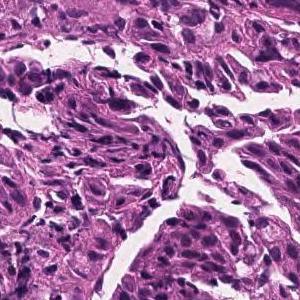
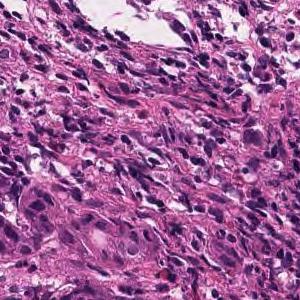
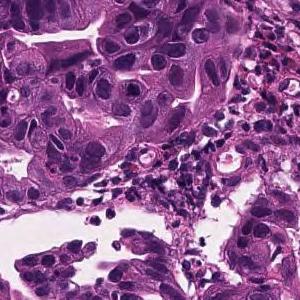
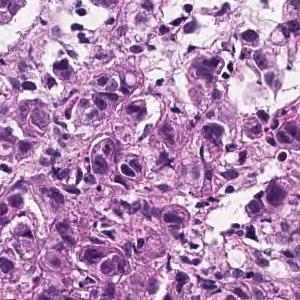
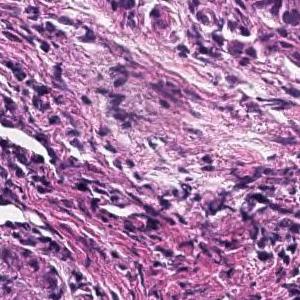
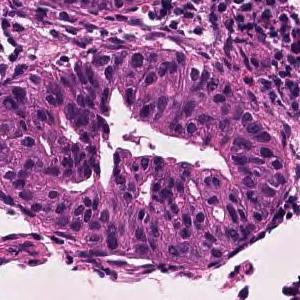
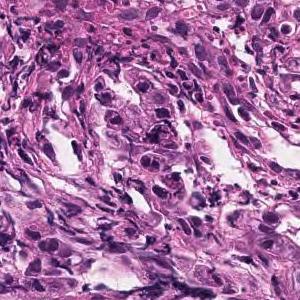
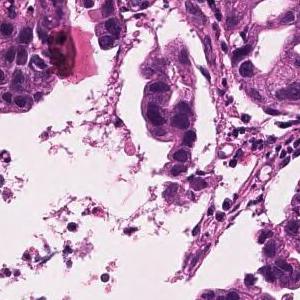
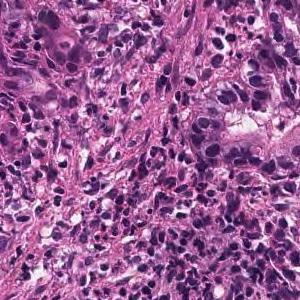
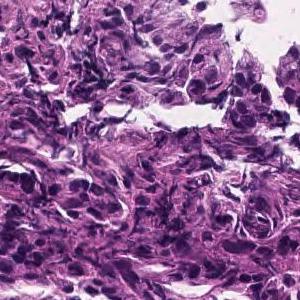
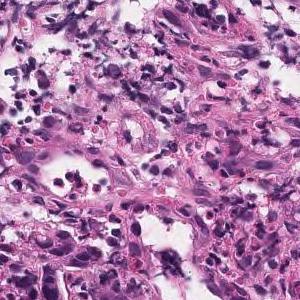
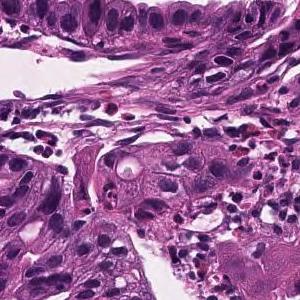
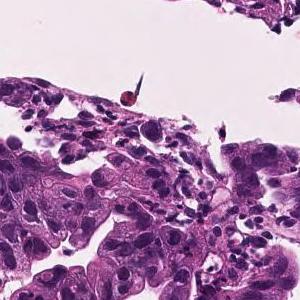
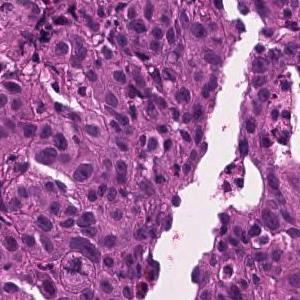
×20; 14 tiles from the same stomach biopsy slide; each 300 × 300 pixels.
Diagnostic report for the slide these tiles come from. The report describes the whole slide, diagnosis included: not every finding it names need appear in these tiles, which may also show non-tumor tissue.
Tumor tissue consisting of medium-sized, cord-like or irregular glandular infiltration is observed in the superficial epithelium. Poorly differentiated adenocarcinoma, non-solid type or moderately differentiated tubular adenocarcinoma
The term "non-solid type" comes from the Japanese Classification of Gastric Carcinoma.
